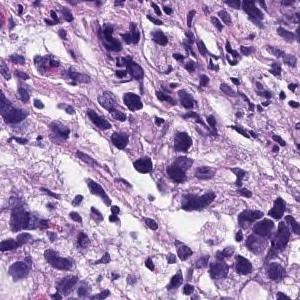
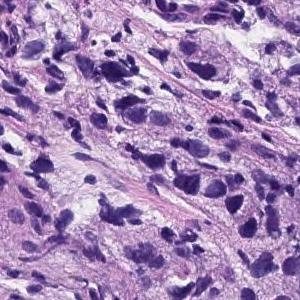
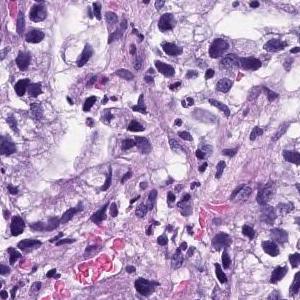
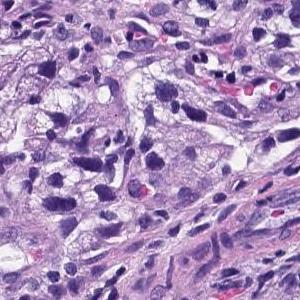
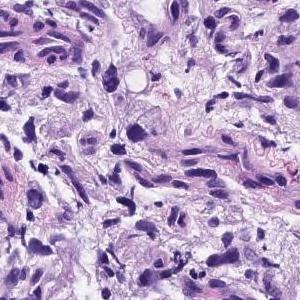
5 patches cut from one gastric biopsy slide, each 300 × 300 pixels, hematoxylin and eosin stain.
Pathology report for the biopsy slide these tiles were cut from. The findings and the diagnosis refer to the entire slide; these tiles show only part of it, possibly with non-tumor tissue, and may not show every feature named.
Medium to small, irregular glandular ducts are formed in the superficial epithelium, and in some cases, the glandular ducts are fused to show solid alveolar lesions and infiltrating tumor tissue is observed. Poorly differentiated adenocarcinoma, Moderately differentiated adenocarcinoma.
Labeled in the dataset as moderately differentiated tubular adenocarcinoma.
